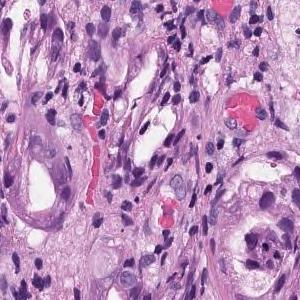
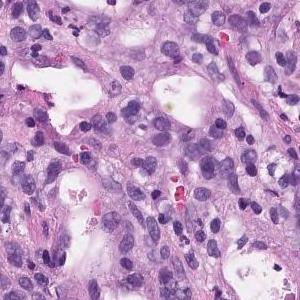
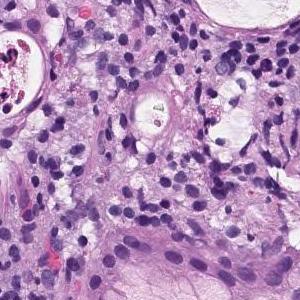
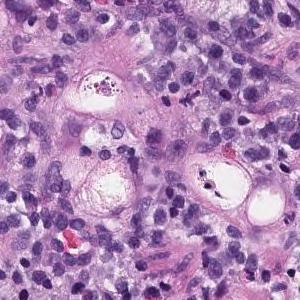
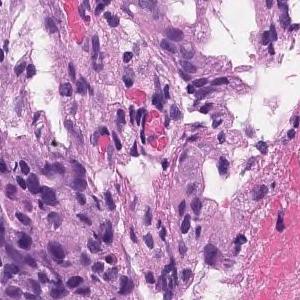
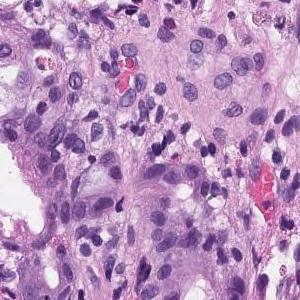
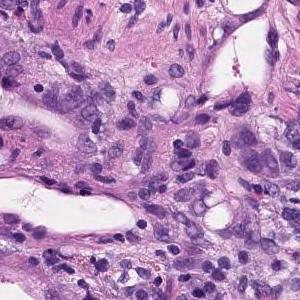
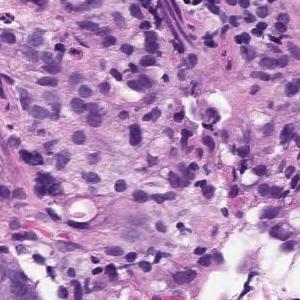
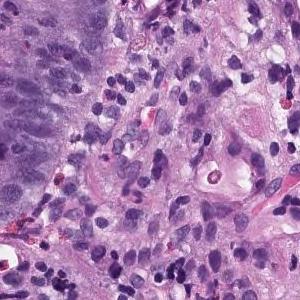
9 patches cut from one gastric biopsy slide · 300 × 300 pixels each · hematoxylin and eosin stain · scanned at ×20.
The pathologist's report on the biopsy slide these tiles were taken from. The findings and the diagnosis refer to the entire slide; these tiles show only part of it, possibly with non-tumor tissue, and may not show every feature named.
In the superficial epithelium, tumor tissue that invades by forming medium-sized to small, irregular ducts is observed. Moderately differentiated adenocarcinoma.
Histological subtype: Moderately differentiated tubular adenocarcinoma.
